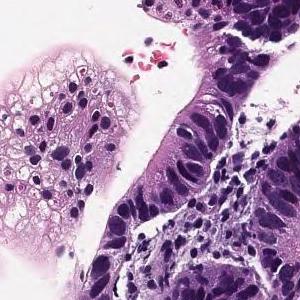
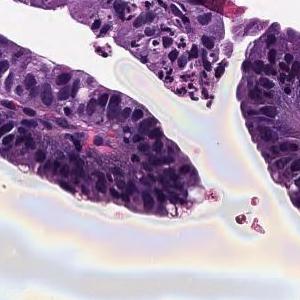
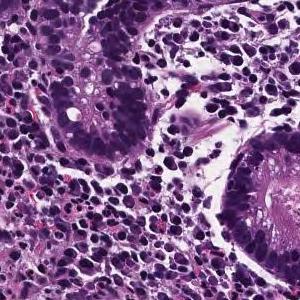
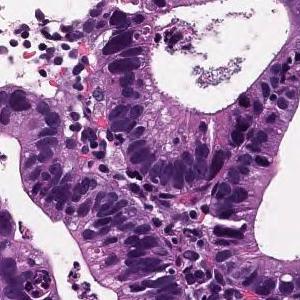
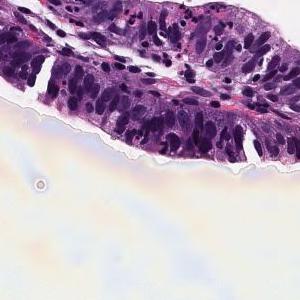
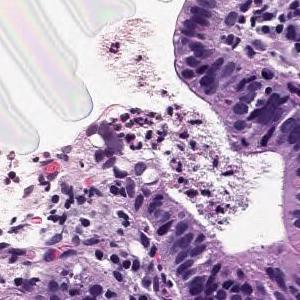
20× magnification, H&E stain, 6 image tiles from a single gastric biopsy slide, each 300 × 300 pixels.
The pathologist's report on the biopsy slide these tiles were taken from. What the report and the diagnosis say applies to the whole slide; these tiles may miss some of the features named and may include tissue that is not tumor.
From the superficial epithelium to the muscularis mucosae, tumor tissue consisting of medium-sized and irregular glandular ducts infiltrating is observed. Well differentiated tubular adenocarcinoma
